9 tiles cut from one stomach biopsy slide, 300 × 300 pixels each, H&E stain.
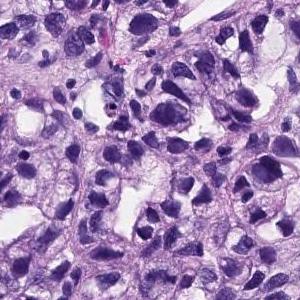
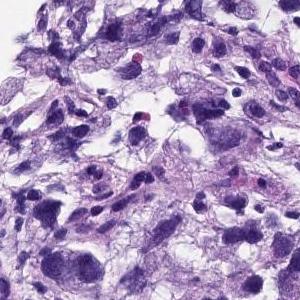
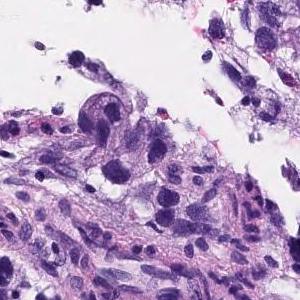
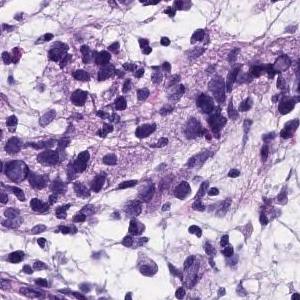
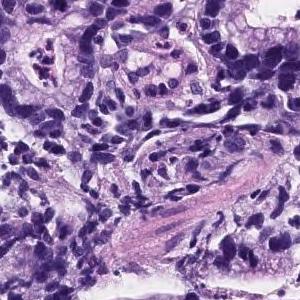
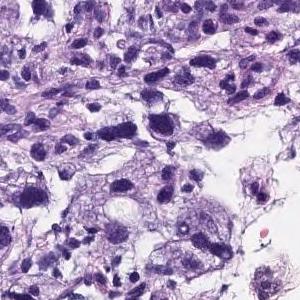
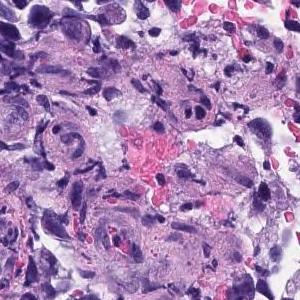
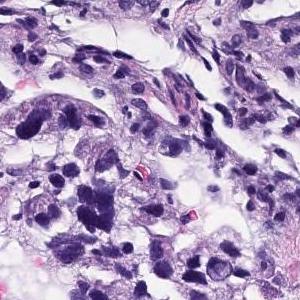
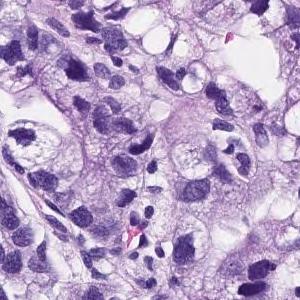
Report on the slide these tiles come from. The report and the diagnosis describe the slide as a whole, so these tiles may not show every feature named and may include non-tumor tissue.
Medium to small, irregular glandular ducts are formed in the superficial epithelium, and in some cases, the glandular ducts are fused to show solid alveolar lesions and infiltrating tumor tissue is observed. Poorly differentiated adenocarcinoma, Moderately differentiated adenocarcinoma.
Dataset label: moderately differentiated tubular adenocarcinoma.
